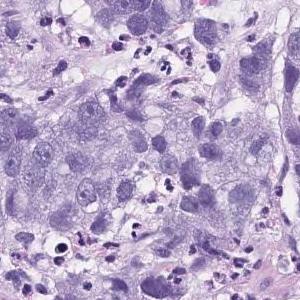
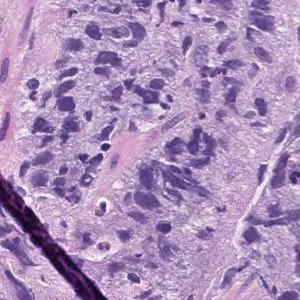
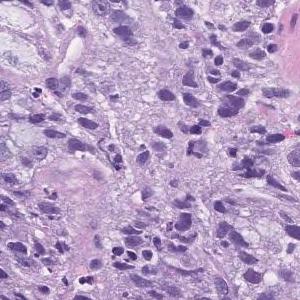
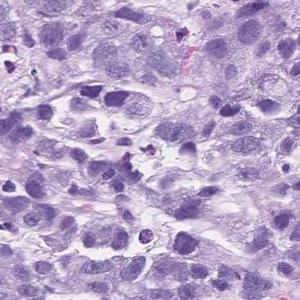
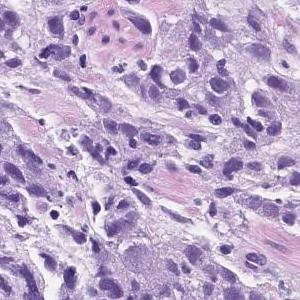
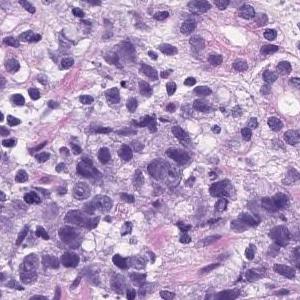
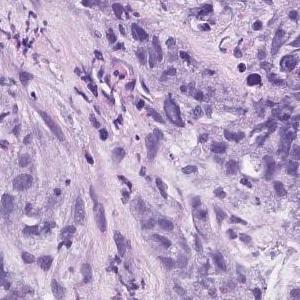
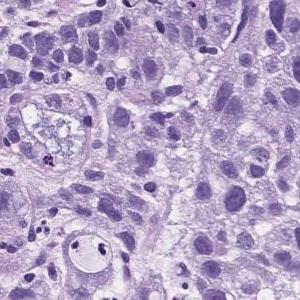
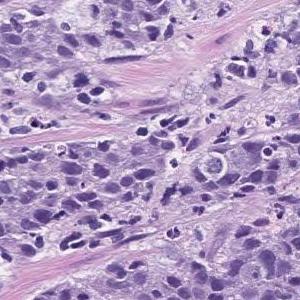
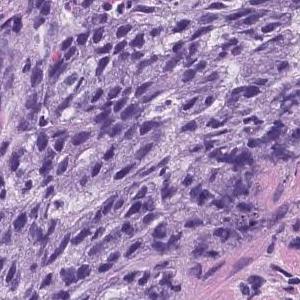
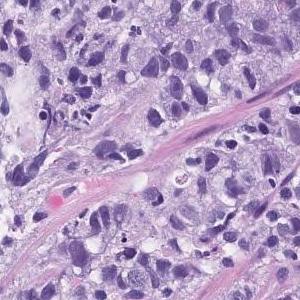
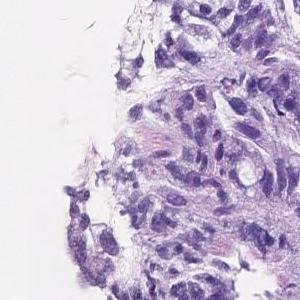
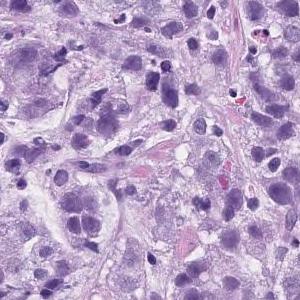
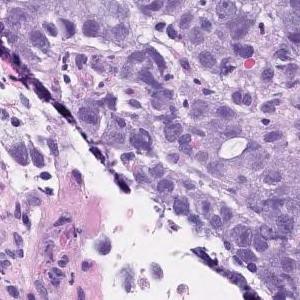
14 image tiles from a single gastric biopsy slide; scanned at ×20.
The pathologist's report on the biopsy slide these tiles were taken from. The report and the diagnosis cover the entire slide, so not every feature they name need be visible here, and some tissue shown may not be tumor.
Atypical l cells with atypical nuclei forming solid vesicles or small irregular atypical ducts that proliferate in a complex manner. poorly differentiated adenocarcinoma, solid type, moderately differentiated tubular adenocarcinoma
The solid type named here is a Japanese Classification of Gastric Carcinoma category; WHO 2019 calls it tubular adenocarcinoma, poorly differentiated.
